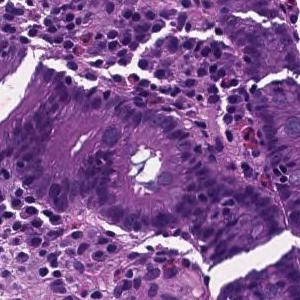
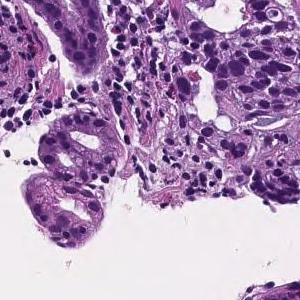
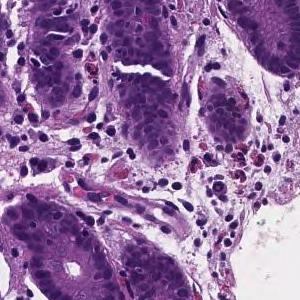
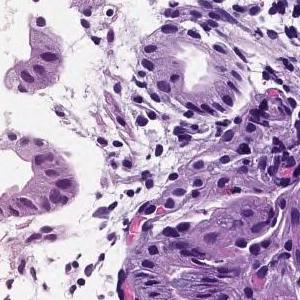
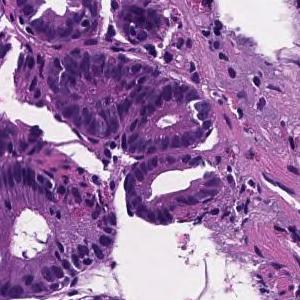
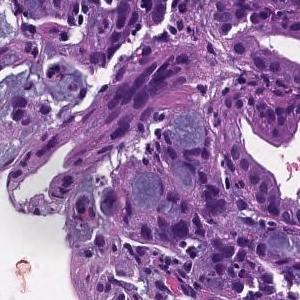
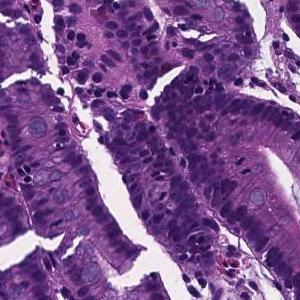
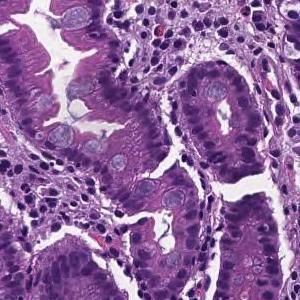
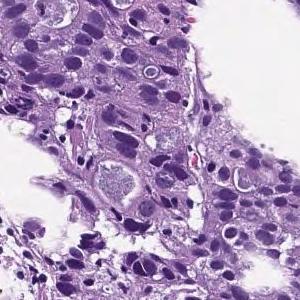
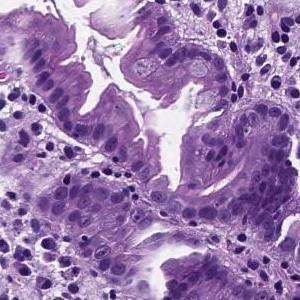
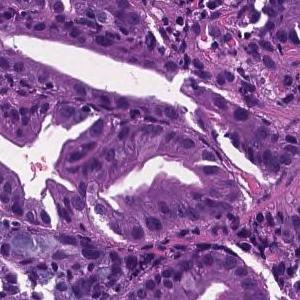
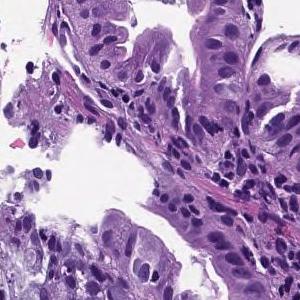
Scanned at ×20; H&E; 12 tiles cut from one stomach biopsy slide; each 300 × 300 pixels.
Pathology report for the slide these tiles were cut from. The report and the diagnosis cover the entire slide, so not every feature they name need be visible here, and some tissue shown may not be tumor.
In the superficial epithelium, tumor tissue that invades by forming medium-sized to small, irregular ducts is observed. moderately differentiated tubular adenocarcinoma.
